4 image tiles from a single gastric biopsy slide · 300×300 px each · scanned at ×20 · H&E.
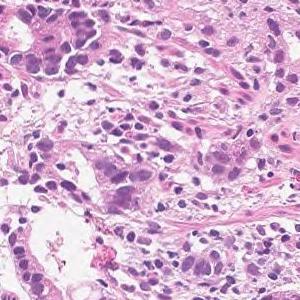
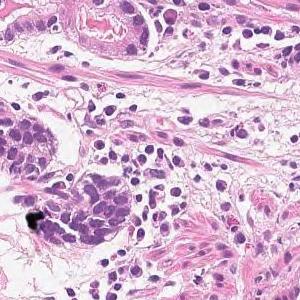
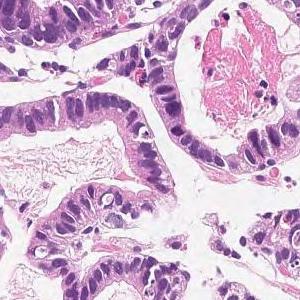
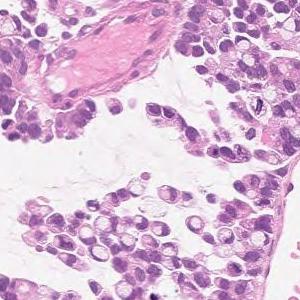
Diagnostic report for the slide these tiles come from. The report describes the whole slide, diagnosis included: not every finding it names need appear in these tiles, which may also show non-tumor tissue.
Medium to small, irregular glandular ducts are formed in the superficial epithelium, and in some cases, the glandular ducts are fused to show solid alveolar lesions and infiltrating tumor tissue is observed. Moderately to poorly differentiated adenocarcinoma.
